20× magnification; hematoxylin and eosin stain; 8 image tiles from a single gastric biopsy slide; 300 × 300 pixels each.
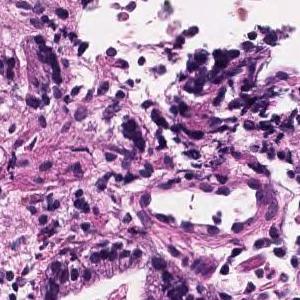
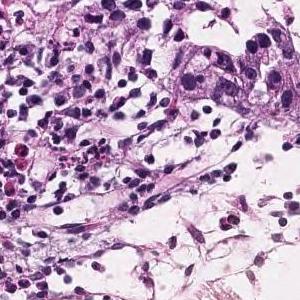
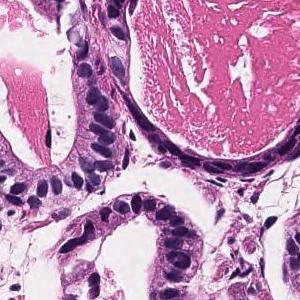
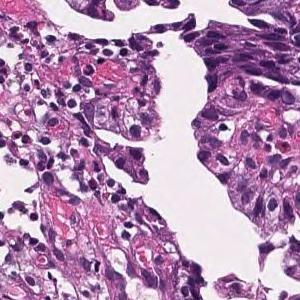
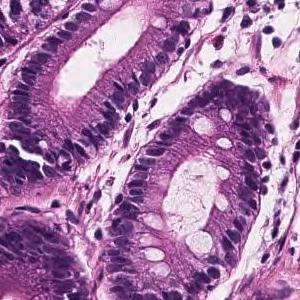
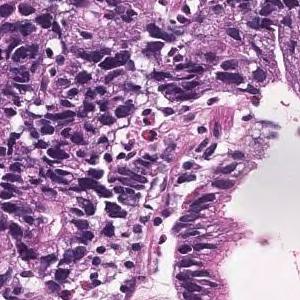
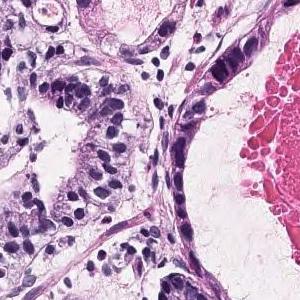
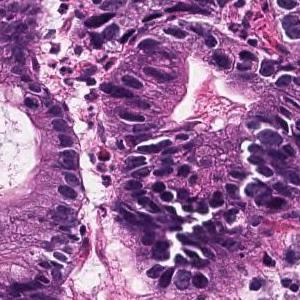
Pathology report for the slide these tiles were cut from. What the report and the diagnosis say applies to the whole slide; these tiles may miss some of the features named and may include tissue that is not tumor.
Tumor tissue consisting of medium-sized and irregular ducts is observed infiltrating in the superficial epithelium. Tumor cells are highly columnar, with nuclei aligned basolaterally and polarized. Well differentiated tubular adenocarcinoma.
